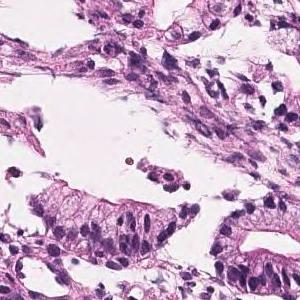
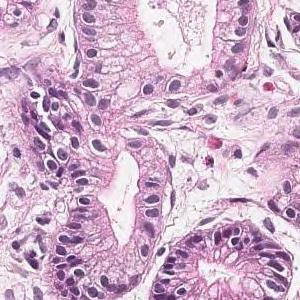
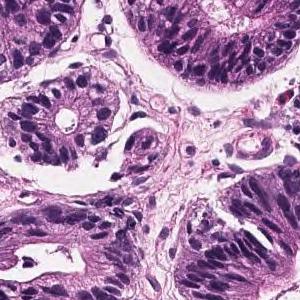
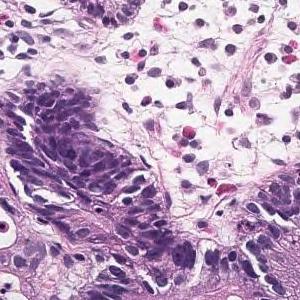
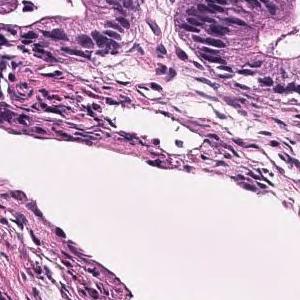
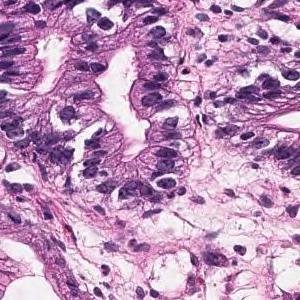
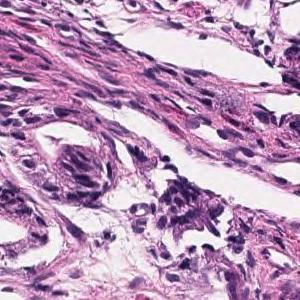
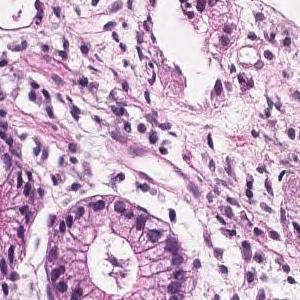
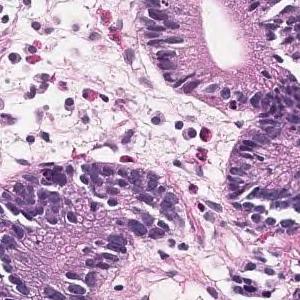
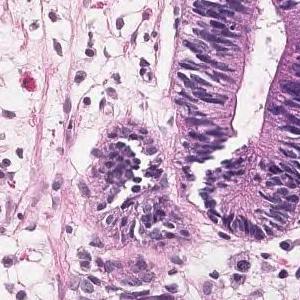
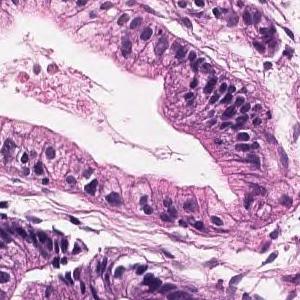
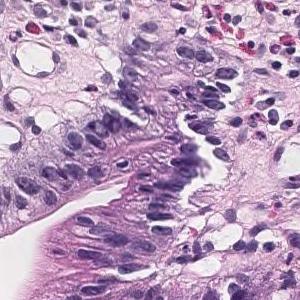
12 image tiles from a single gastric biopsy slide, 300 × 300 pixels each, ×20, H&E.
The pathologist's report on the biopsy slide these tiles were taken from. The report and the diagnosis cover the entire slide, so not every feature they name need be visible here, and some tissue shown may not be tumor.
Tumor tissue in which medium to small irregular ducts infiltrate and proliferate in the submucosa can be seen in the epithelium. Well differentiated tubular adenocarcinoma
